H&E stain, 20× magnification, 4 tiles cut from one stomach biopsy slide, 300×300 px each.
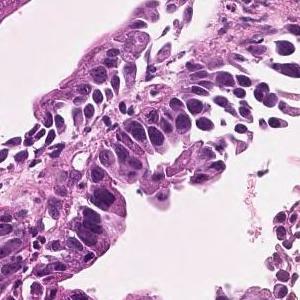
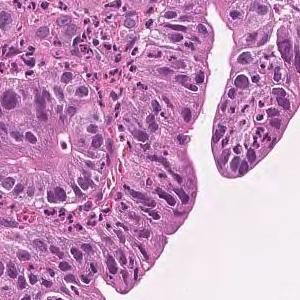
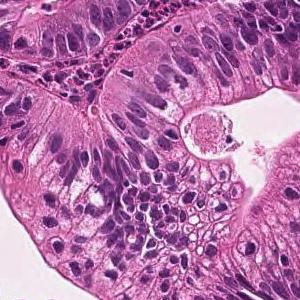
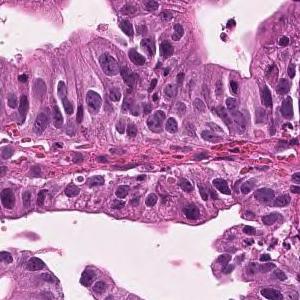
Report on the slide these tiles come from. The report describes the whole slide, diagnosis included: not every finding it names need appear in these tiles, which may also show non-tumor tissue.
Tumor cells are large, highly columnar, large club-shaped nuclei, and are associated with chromatin aggregation. Papillary adenocarcinoma.
